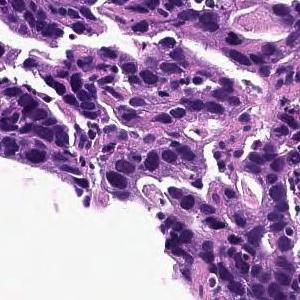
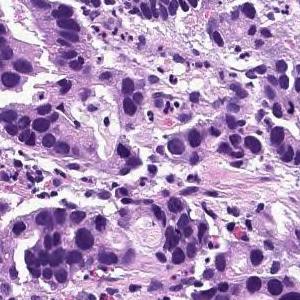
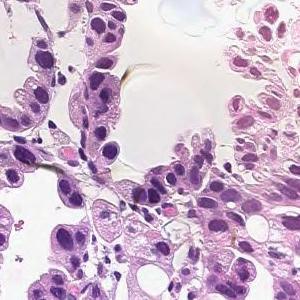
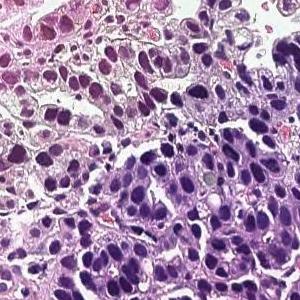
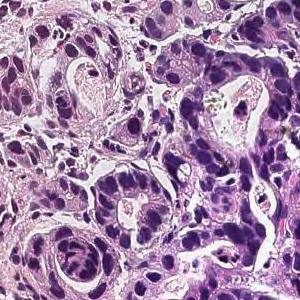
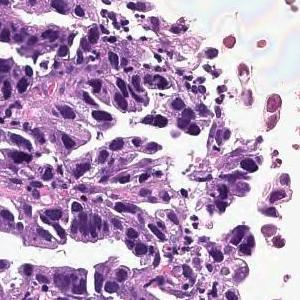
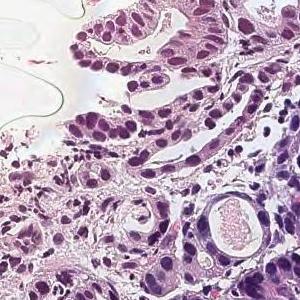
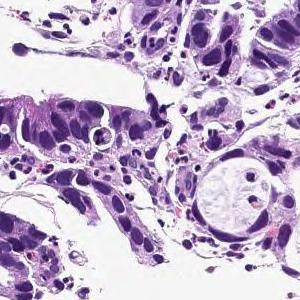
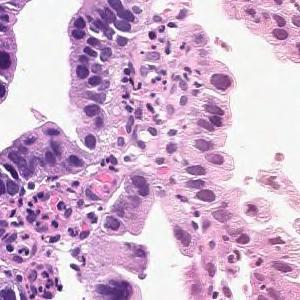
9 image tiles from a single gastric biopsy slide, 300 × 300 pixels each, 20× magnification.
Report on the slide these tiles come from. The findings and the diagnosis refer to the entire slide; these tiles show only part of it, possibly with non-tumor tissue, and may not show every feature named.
On the superficial epithelium, tumor tissue consisting of large irregular glandular ducts partially fused and infiltrated is observed. Well to moderately differentiated tubular adenocarcinoma (well differentiated tubular adenocarcinoma, moderately differentiated tubular adenocarcinoma)
Histological subtype: Well to moderately differentiated tubular adenocarcinoma.
